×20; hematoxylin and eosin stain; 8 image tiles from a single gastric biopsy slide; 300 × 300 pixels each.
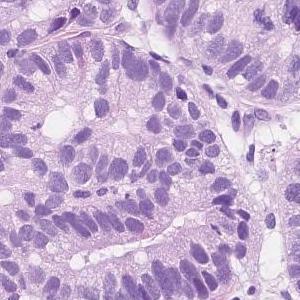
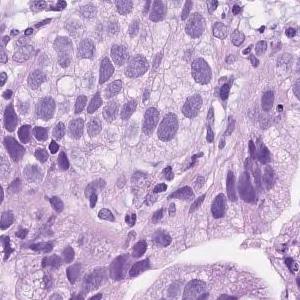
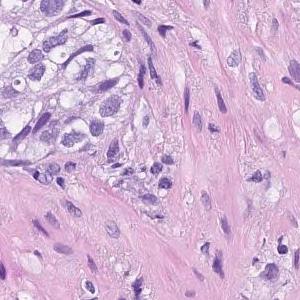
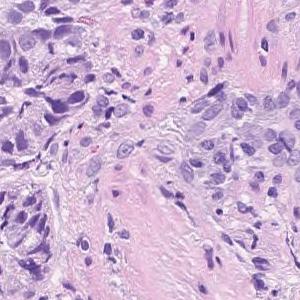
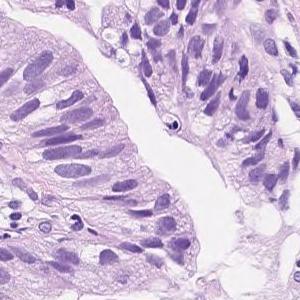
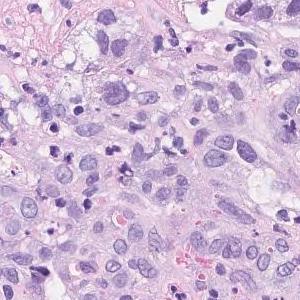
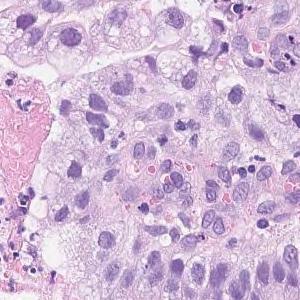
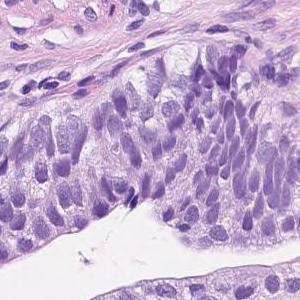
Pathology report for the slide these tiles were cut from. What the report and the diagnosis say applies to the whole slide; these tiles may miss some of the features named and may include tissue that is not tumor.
Atypical l cells with atypical nuclei forming solid or diffuse vesicles or small irregular atypical ducts and growing in a complex manner. moderately differentiated tubular adenocarcinoma
